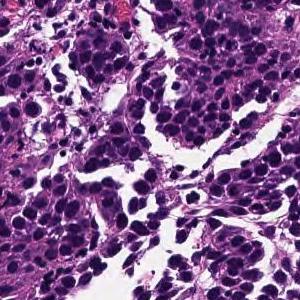
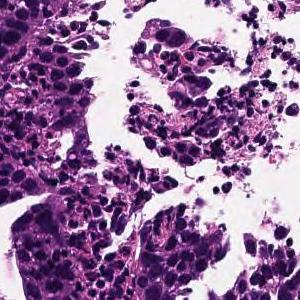
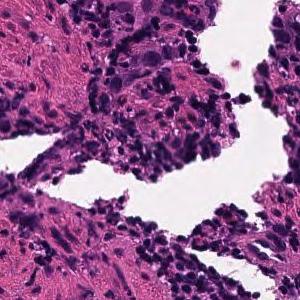
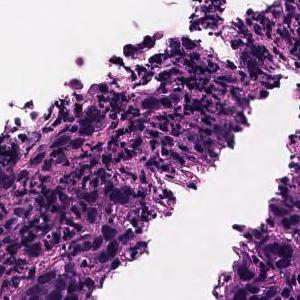
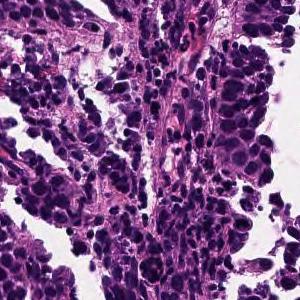
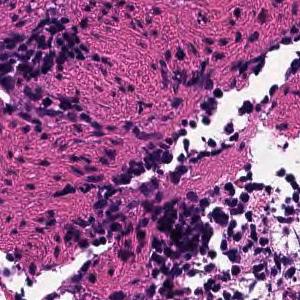
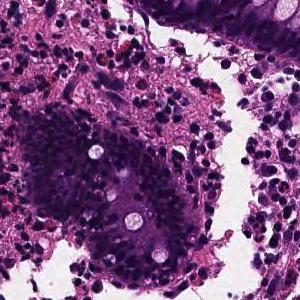
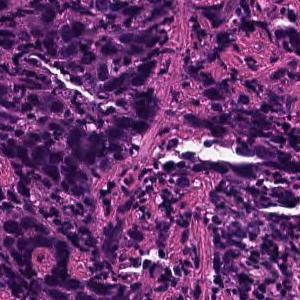
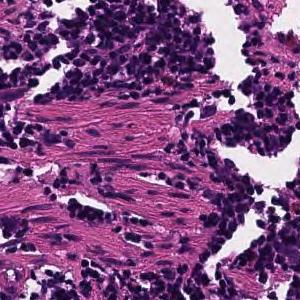
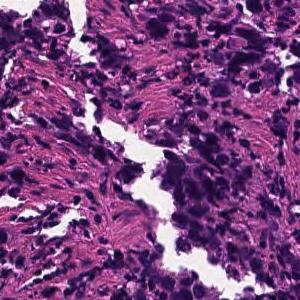
10 image tiles from a single gastric biopsy slide, hematoxylin and eosin stain, ×20.
The pathologist's report on the biopsy slide these tiles were taken from. Both the report and the diagnosis are for the whole slide: these tiles need not show every feature named, and some of the tissue shown may not be tumor.
Tumor tissue consisting of cord-like or small, irregular glandular ducts fused and infiltrated is observed in the superficial epithelium. Poorly differentiated adenocarcinoma, non-solid type
The non-solid type named here is a Japanese Classification of Gastric Carcinoma category.
